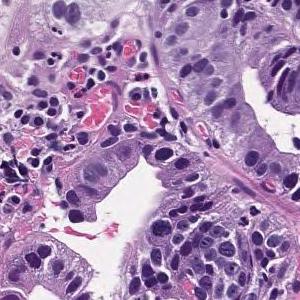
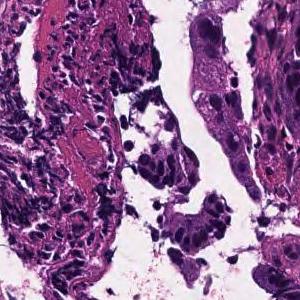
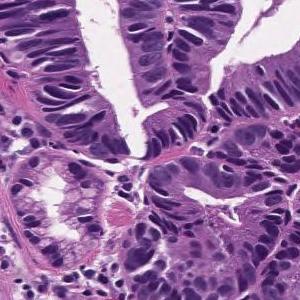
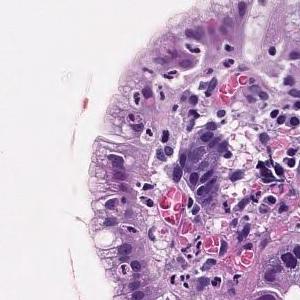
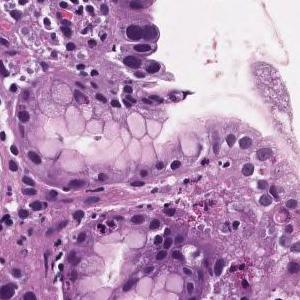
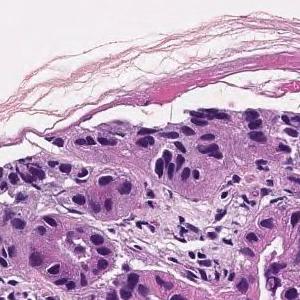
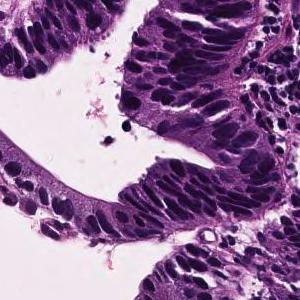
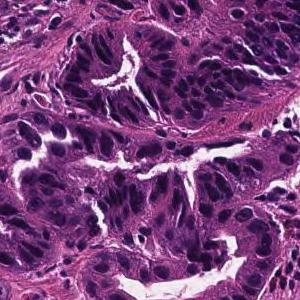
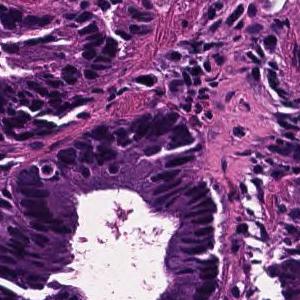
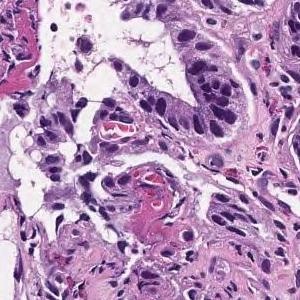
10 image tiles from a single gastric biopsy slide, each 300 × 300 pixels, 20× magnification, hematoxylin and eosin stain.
The pathologist's report on the biopsy slide these tiles were taken from. The findings and the diagnosis refer to the entire slide; these tiles show only part of it, possibly with non-tumor tissue, and may not show every feature named.
Tumor cells are large, highly columnar, large club-shaped nuclei, and are associated with chromatin aggregation. Papillary adenocarcinoma.
